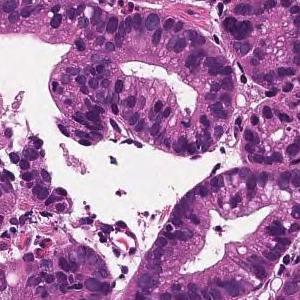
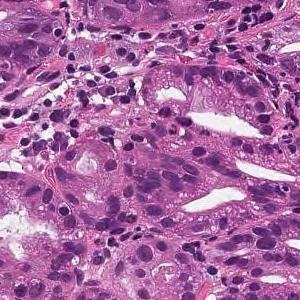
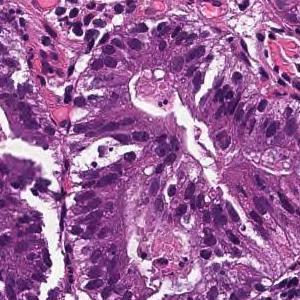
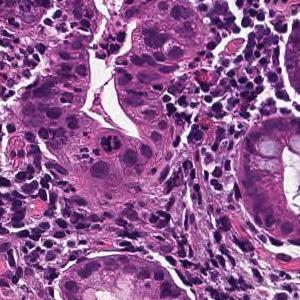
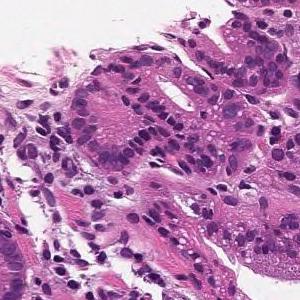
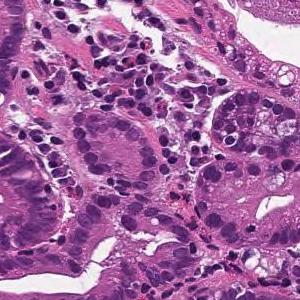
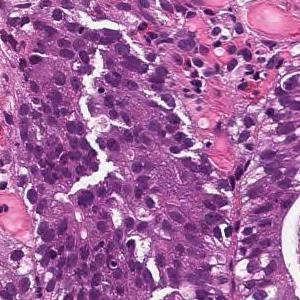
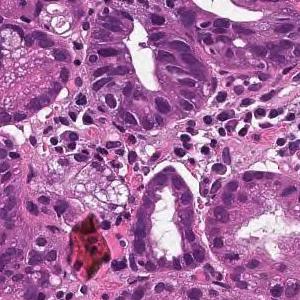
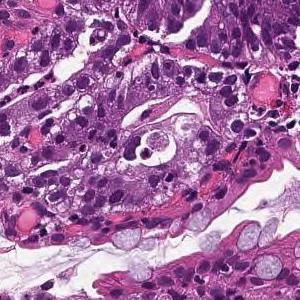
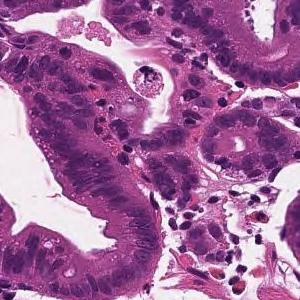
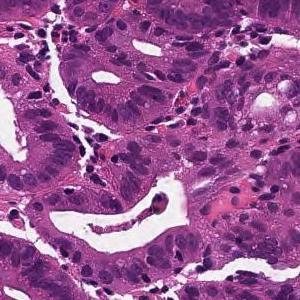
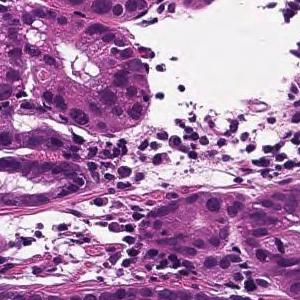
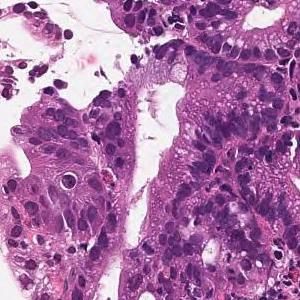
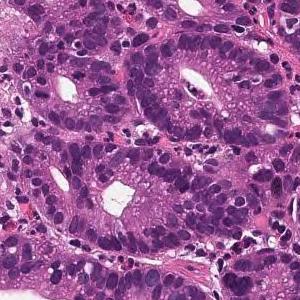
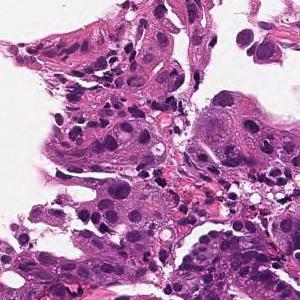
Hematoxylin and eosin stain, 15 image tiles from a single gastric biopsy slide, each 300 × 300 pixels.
Diagnostic report for the slide these tiles come from. The report describes the whole slide, diagnosis included: not every finding it names need appear in these tiles, which may also show non-tumor tissue.
In the superficial epithelium, tumor tissue that invades by forming medium-sized to small, irregular ducts is observed. moderately differentiated tubular adenocarcinoma.
